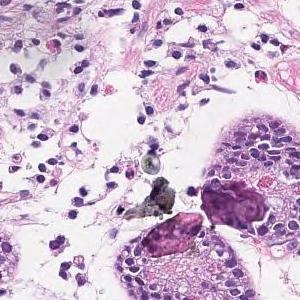
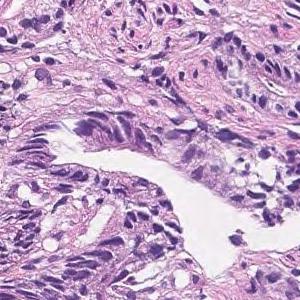
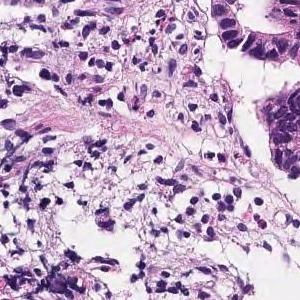
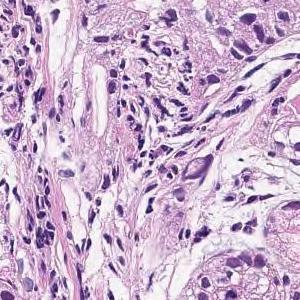
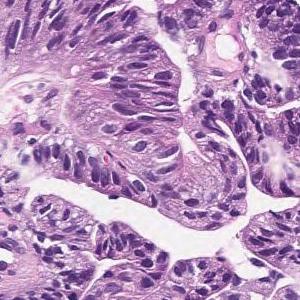
20× magnification, H&E, 5 tiles from the same stomach biopsy slide, 300 × 300 pixels each.
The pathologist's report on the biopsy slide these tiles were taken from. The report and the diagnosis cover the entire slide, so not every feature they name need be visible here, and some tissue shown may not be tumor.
In the superficial epithelium, tumor tissue that invades by forming medium-sized to small, irregular ducts is observed. Moderately differentiated adenocarcinoma.
Tumor subtype: moderately differentiated tubular adenocarcinoma.
